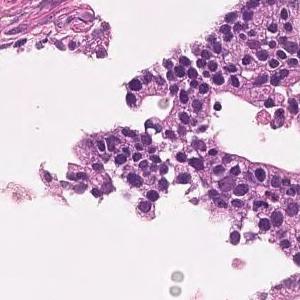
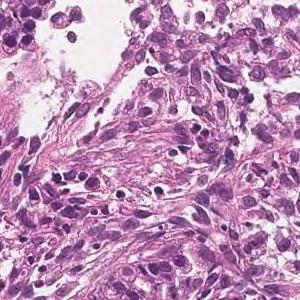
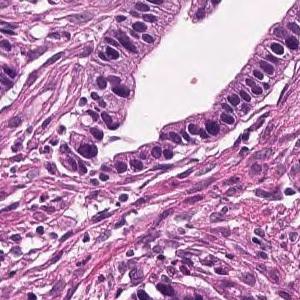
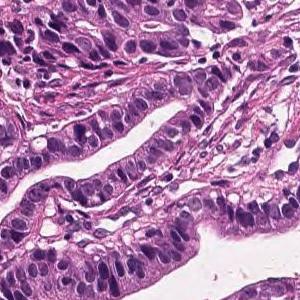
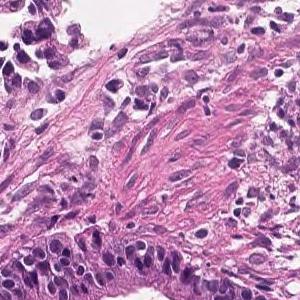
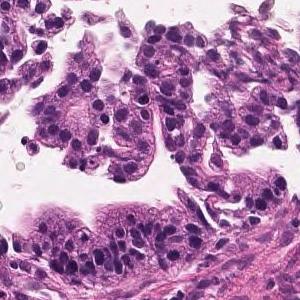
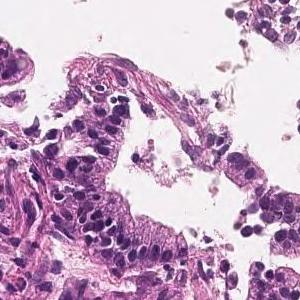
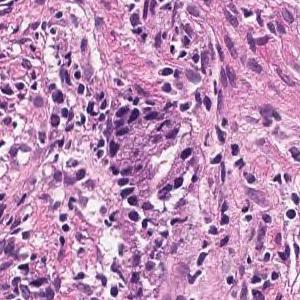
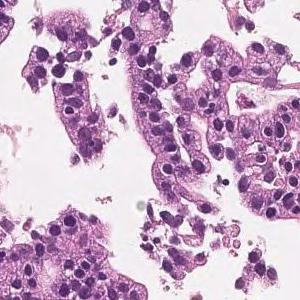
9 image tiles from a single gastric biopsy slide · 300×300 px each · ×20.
Pathology report for the slide these tiles were cut from. The findings and the diagnosis refer to the entire slide; these tiles show only part of it, possibly with non-tumor tissue, and may not show every feature named.
Tumor cells are large, highly columnar, large club-shaped nuclei, and are associated with chromatin aggregation. Papillary adenocarcinoma.
